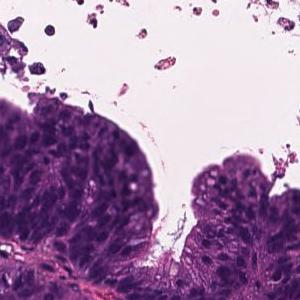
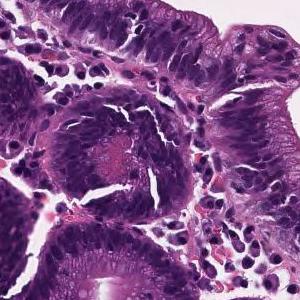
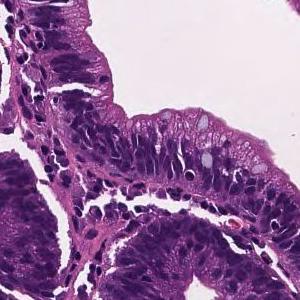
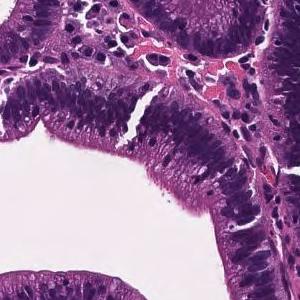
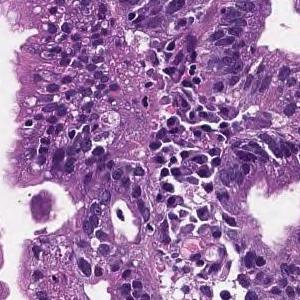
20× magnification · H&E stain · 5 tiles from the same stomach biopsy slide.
The pathologist's report on the biopsy slide these tiles were taken from. The findings and the diagnosis refer to the entire slide; these tiles show only part of it, possibly with non-tumor tissue, and may not show every feature named.
Tumor cells are large, highly columnar, large club-shaped nuclei, and are associated with chromatin aggregation. Papillary adenocarcinoma.
